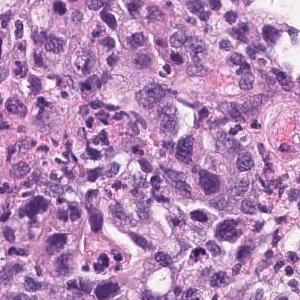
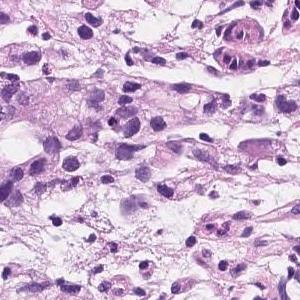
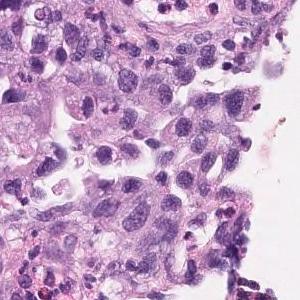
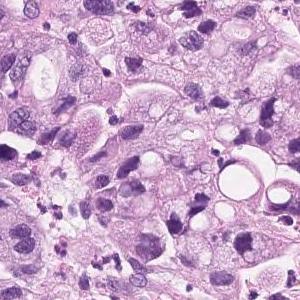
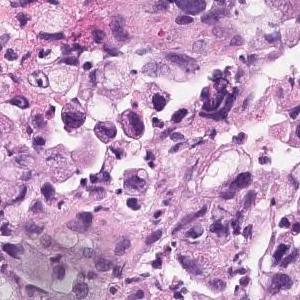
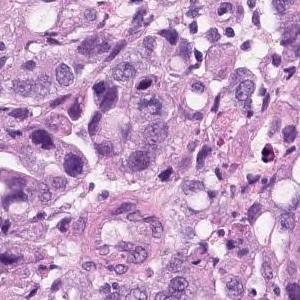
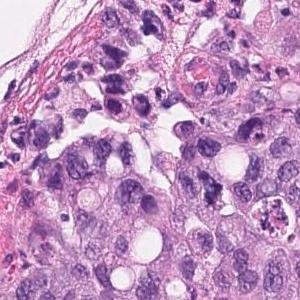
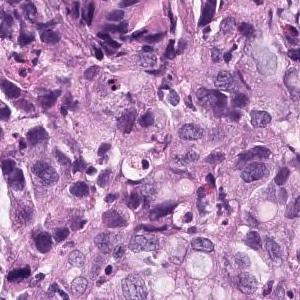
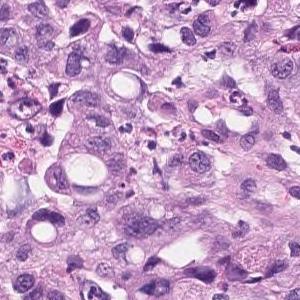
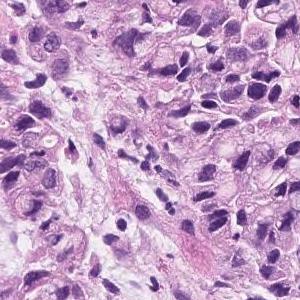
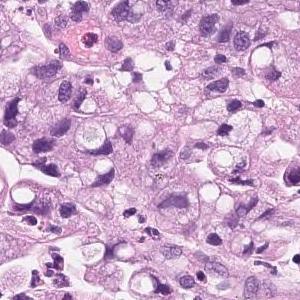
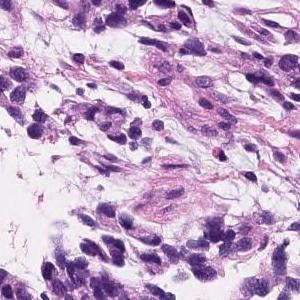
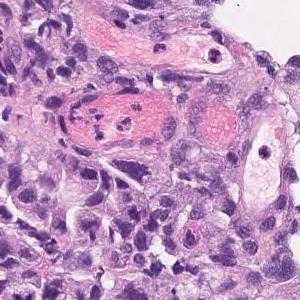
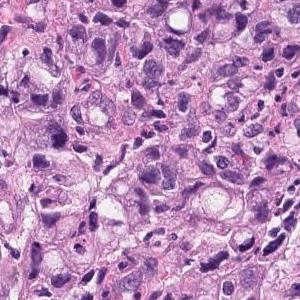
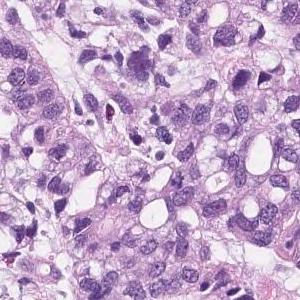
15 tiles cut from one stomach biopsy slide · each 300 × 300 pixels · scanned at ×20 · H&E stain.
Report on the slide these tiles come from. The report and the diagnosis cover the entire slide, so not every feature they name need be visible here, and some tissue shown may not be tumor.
Group 5, Adenocarcinoma. Poorly differentiated adenocarcinoma, non-solid type
The term "non-solid type" comes from the Japanese Classification of Gastric Carcinoma.
